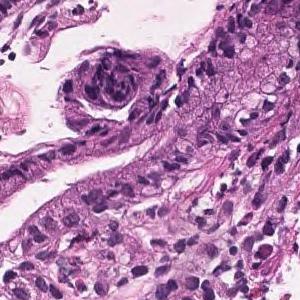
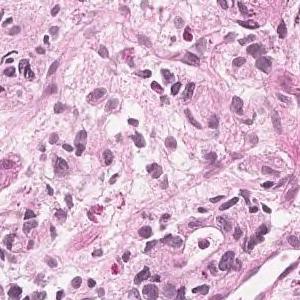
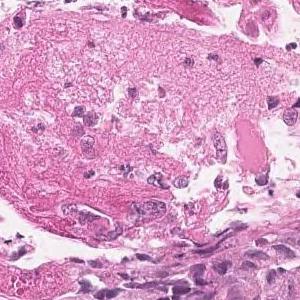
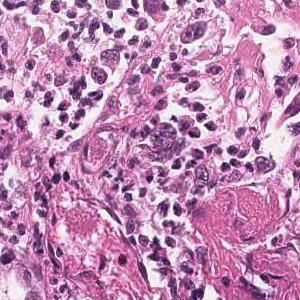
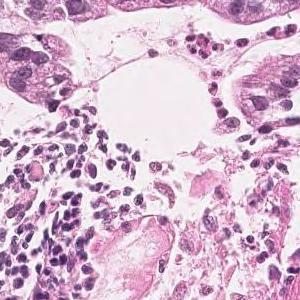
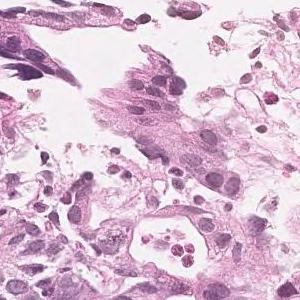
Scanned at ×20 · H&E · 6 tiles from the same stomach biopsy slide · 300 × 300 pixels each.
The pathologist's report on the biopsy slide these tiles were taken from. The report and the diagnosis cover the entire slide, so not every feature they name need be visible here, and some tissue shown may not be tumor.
In the superficial epithelium, medium to small irregular gland ducts are formed, and in some cases, the ducts are fused to show solid alveolar lesions and infiltrating tumor tissue is observed. Moderately to poorly differentiated adenocarcinoma
